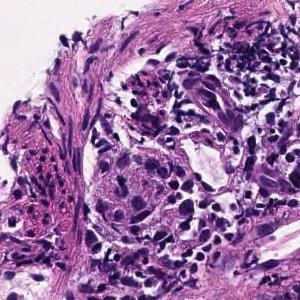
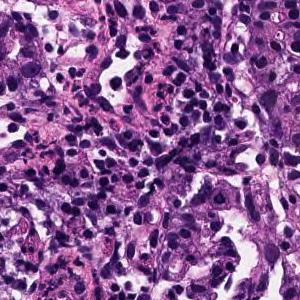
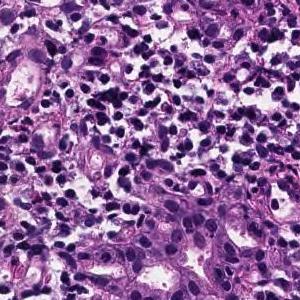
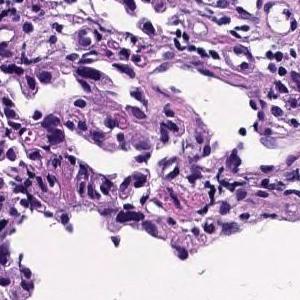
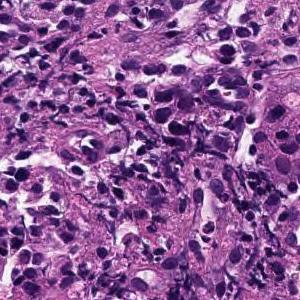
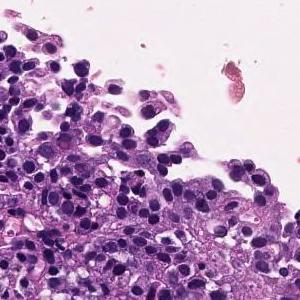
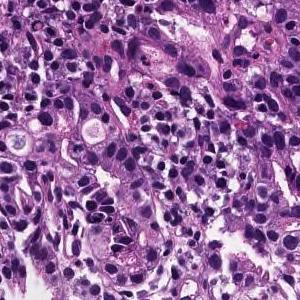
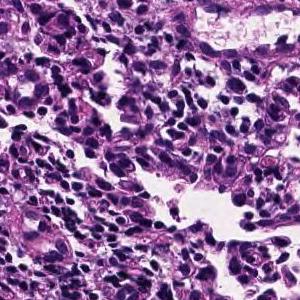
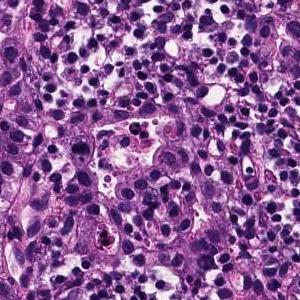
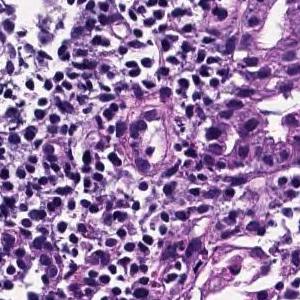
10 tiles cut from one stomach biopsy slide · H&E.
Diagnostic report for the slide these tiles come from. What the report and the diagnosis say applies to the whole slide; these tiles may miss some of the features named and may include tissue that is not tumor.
Medium to small, irregular glandular ducts are formed in the superficial epithelium, and in some cases, the glandular ducts are fused to show solid alveolar lesions and infiltrating tumor tissue is observed. Moderately to poorly differentiated adenocarcinoma.
